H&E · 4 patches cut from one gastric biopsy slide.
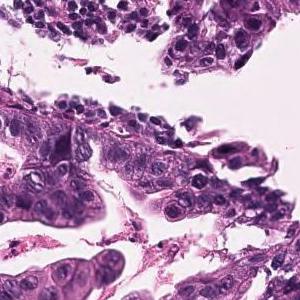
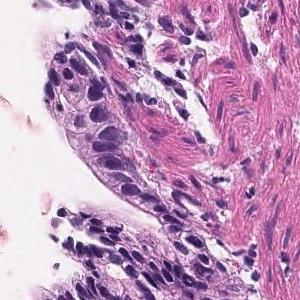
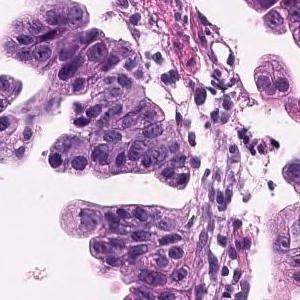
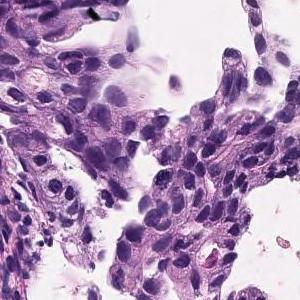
Pathology report for the biopsy slide these tiles were cut from. The report and the diagnosis describe the slide as a whole, so these tiles may not show every feature named and may include non-tumor tissue.
Tumor cells are large, highly columnar, large club-shaped nuclei, and are associated with chromatin aggregation. Papillary adenocarcinoma.
